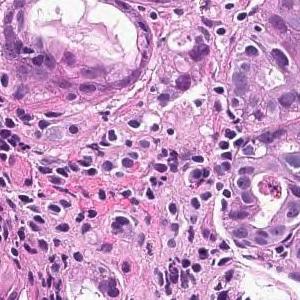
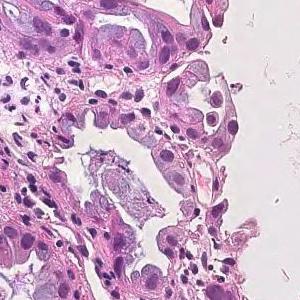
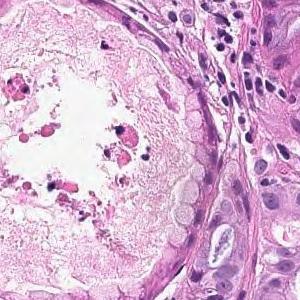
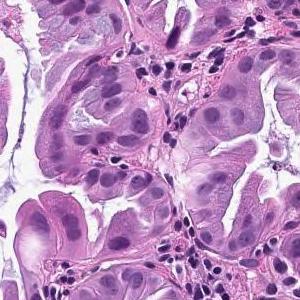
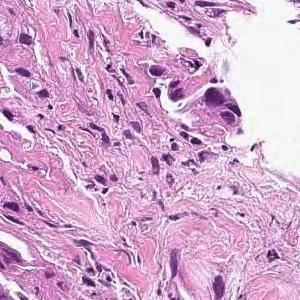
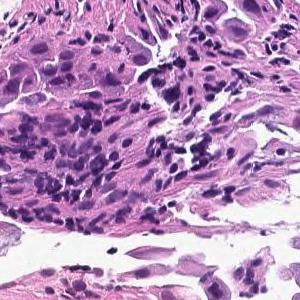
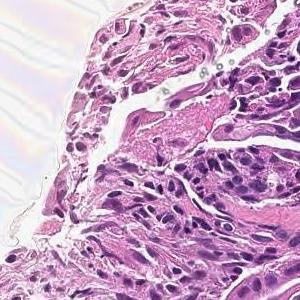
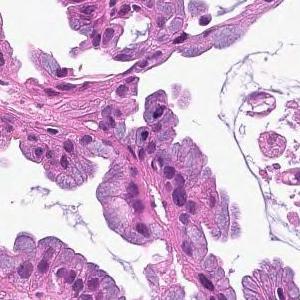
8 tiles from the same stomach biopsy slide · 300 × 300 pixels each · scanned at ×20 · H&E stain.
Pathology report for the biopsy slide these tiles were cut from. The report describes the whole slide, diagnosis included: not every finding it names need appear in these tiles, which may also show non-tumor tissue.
From the superficial epithelium to the muscularis mucosae, tumor tissue consisting of medium-sized and irregular glandular ducts infiltrating is observed. Well differentiated tubular adenocarcinoma
